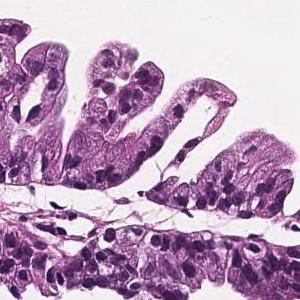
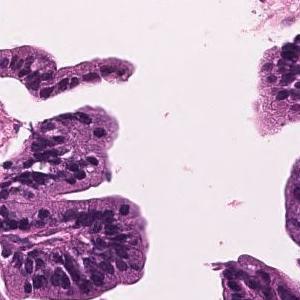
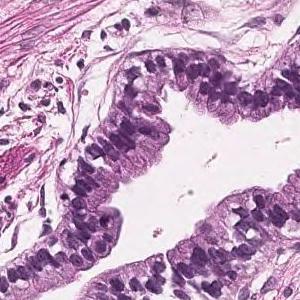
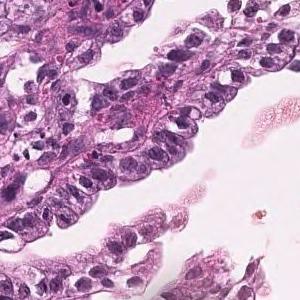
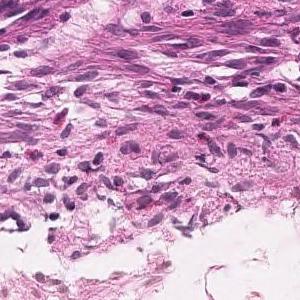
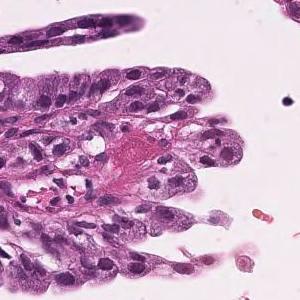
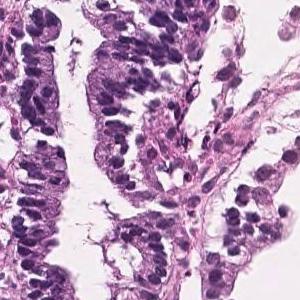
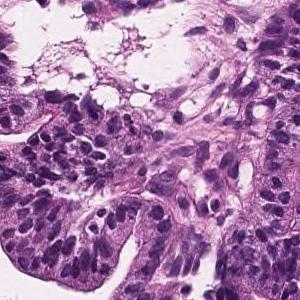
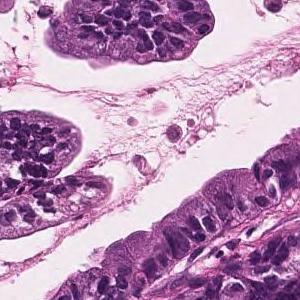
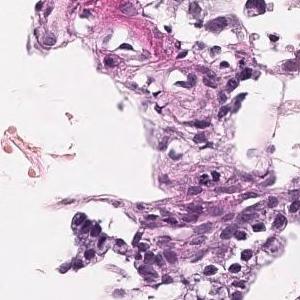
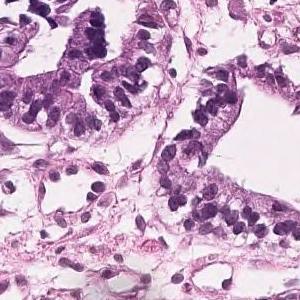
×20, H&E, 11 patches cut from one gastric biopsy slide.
Report on the slide these tiles come from. The report describes the whole slide, diagnosis included: not every finding it names need appear in these tiles, which may also show non-tumor tissue.
Tumor cells are large, highly columnar, large club-shaped nuclei, and are associated with chromatin aggregation. Papillary adenocarcinoma.
